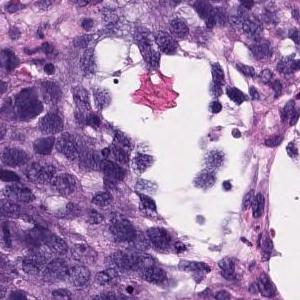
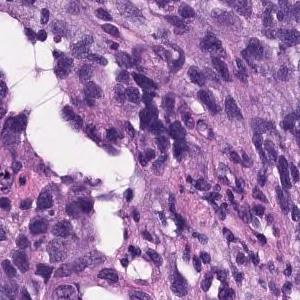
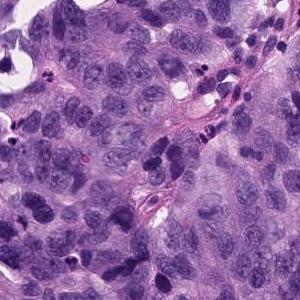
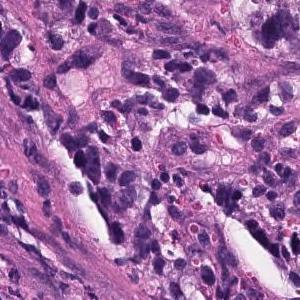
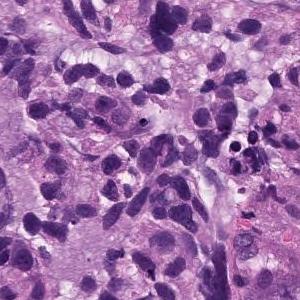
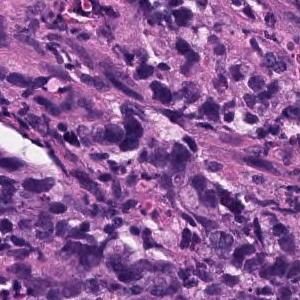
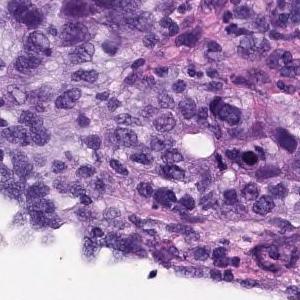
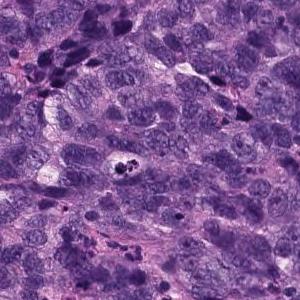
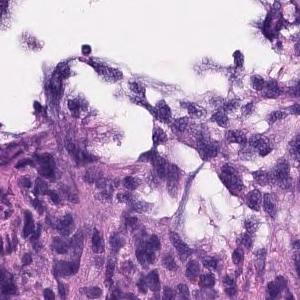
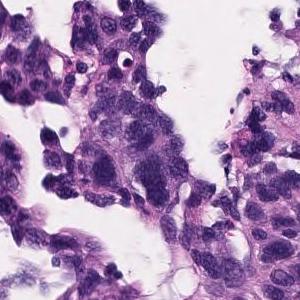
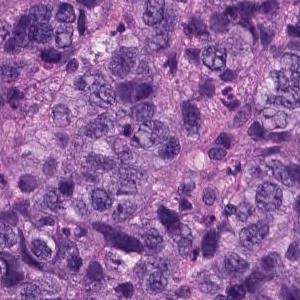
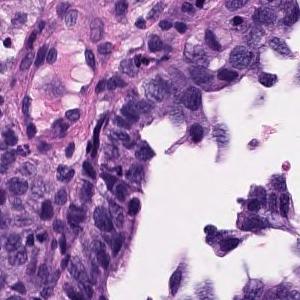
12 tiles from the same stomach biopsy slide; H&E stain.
Report on the slide these tiles come from. What the report and the diagnosis say applies to the whole slide; these tiles may miss some of the features named and may include tissue that is not tumor.
Atypical l cells with atypical nuclei under the mucosa growing in isolation and scattered. Poorly differentiated adenocarcinoma (poorly differentiated adenocarcinoma, non-solid type)
Histologic type: Poorly differentiated adenocarcinoma, non-solid type.
"Non-solid type" is a category of the Japanese Classification of Gastric Carcinoma.
